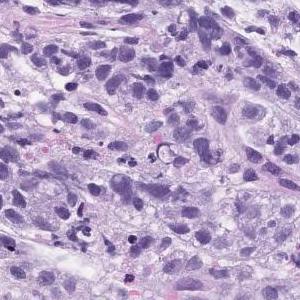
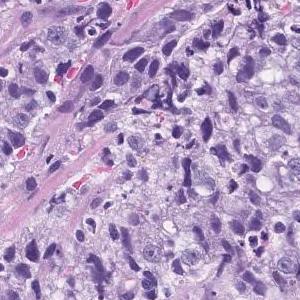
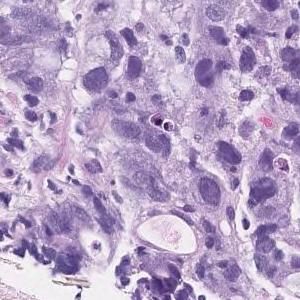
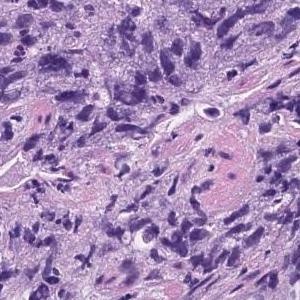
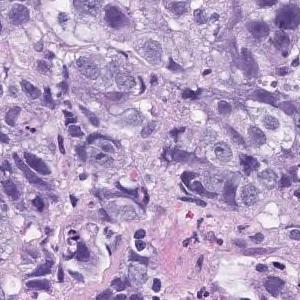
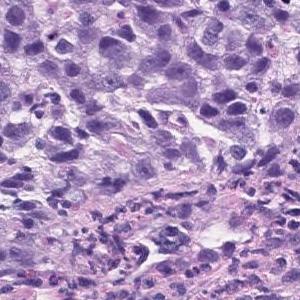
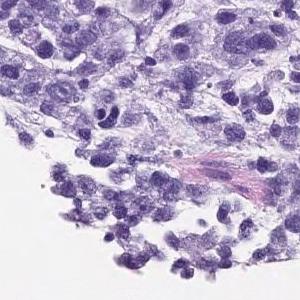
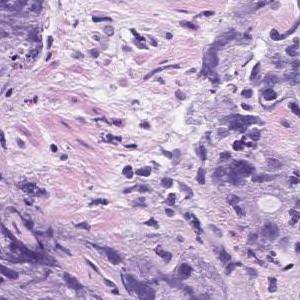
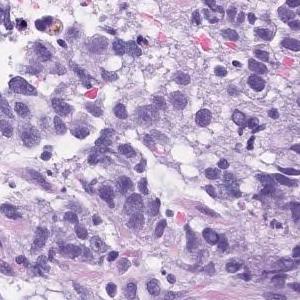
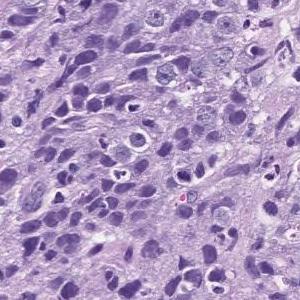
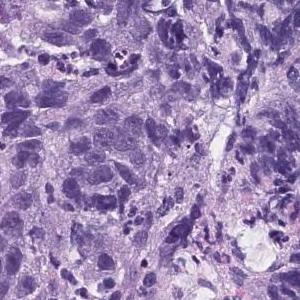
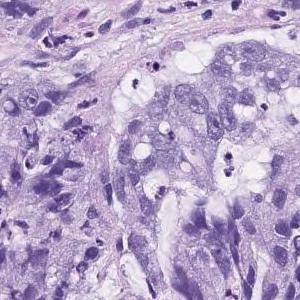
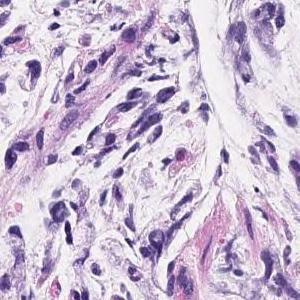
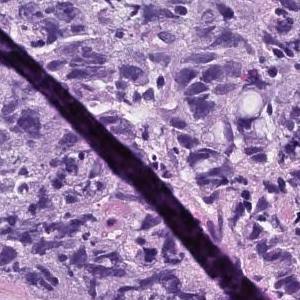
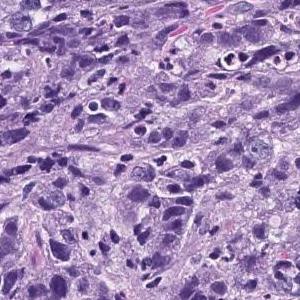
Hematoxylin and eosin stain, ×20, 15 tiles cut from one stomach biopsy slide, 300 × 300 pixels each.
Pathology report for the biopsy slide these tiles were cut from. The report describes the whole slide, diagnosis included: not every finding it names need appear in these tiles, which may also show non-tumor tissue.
Atypical l cells with atypical nuclei forming solid vesicles or small irregular atypical ducts that proliferate in a complex manner. poorly differentiated adenocarcinoma, solid type, moderately differentiated tubular adenocarcinoma
The solid type named here is a Japanese Classification of Gastric Carcinoma category; WHO 2019 calls it tubular adenocarcinoma, poorly differentiated.
